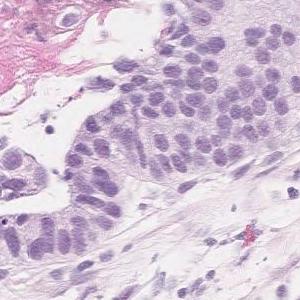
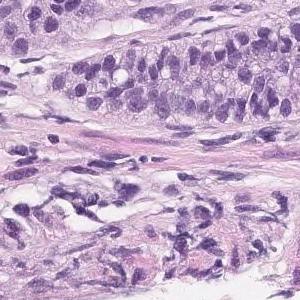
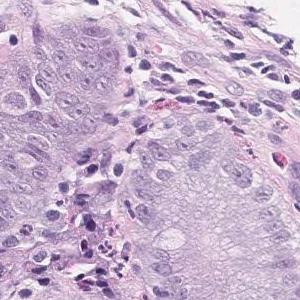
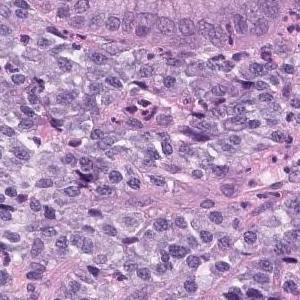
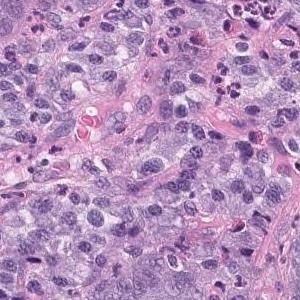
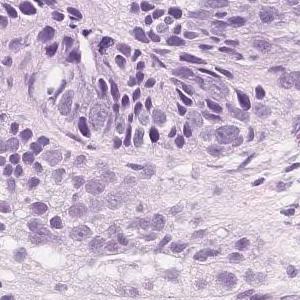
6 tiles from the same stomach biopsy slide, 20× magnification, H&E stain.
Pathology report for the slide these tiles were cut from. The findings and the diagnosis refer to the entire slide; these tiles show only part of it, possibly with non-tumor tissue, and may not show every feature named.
Tumor tissue in which highly columnar atypical epithelial cells with nuclear enlargement and increased nuclear chromatin show papillary to papillary ductal structure and proliferate is observed. Papillary adenocarcinoma.
